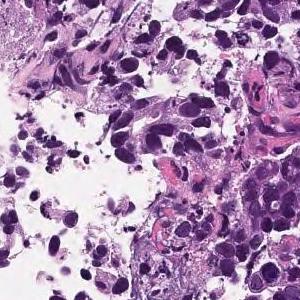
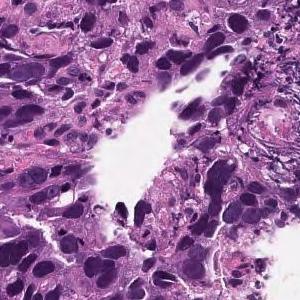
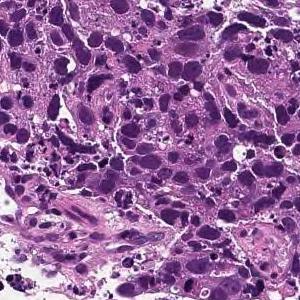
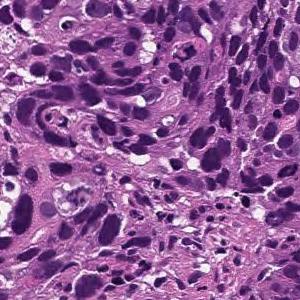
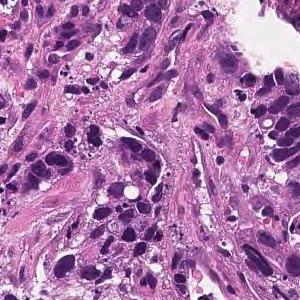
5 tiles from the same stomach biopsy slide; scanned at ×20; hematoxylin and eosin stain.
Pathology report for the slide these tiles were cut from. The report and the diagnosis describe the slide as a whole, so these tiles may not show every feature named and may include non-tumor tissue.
Tumor cells are medium-sized polygonal with no extracellular mucus production or duct formation. Poorly differentiated adenocarcinoma, solid-type
Tumor subtype: poorly differentiated adenocarcinoma, solid type. This name comes from the Japanese Classification of Gastric Carcinoma; the WHO 2019 classification calls it tubular adenocarcinoma, poorly differentiated.
